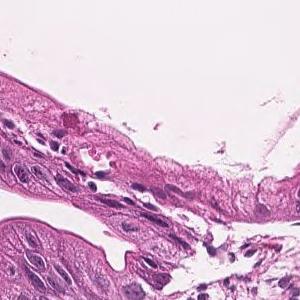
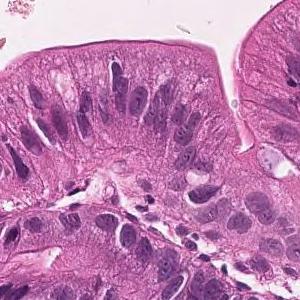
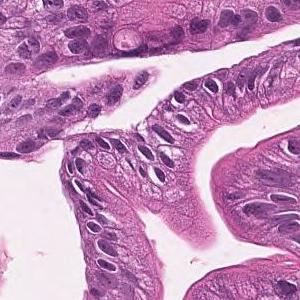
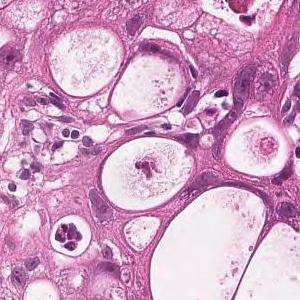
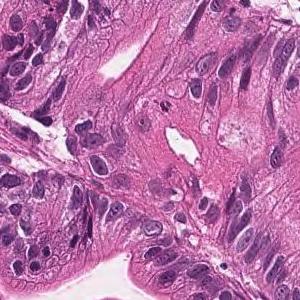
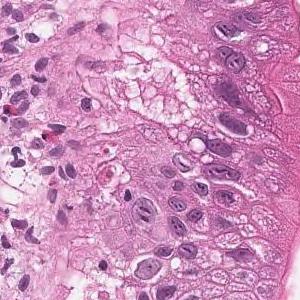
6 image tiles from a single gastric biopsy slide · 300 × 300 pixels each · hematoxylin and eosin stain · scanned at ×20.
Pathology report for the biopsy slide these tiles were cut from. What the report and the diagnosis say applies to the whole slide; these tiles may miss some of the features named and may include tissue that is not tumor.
On the superficial epithelium, tumor tissue that infiltrates by forming medium-sized papillary or small irregular ducts is observed. Papillary adenocarcinoma
